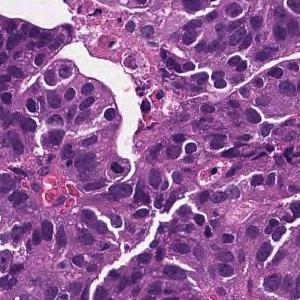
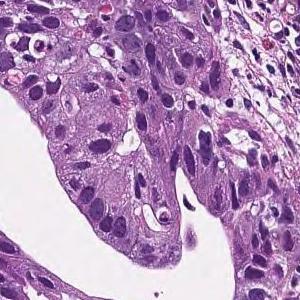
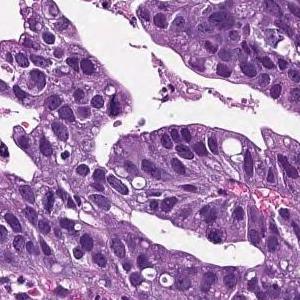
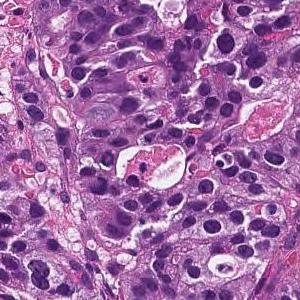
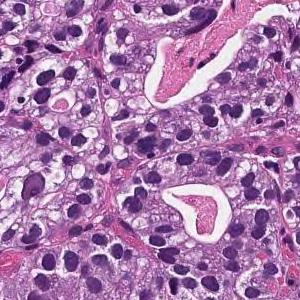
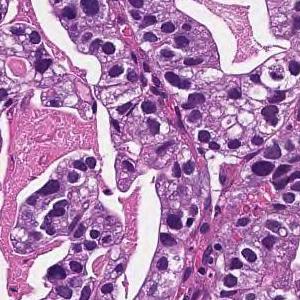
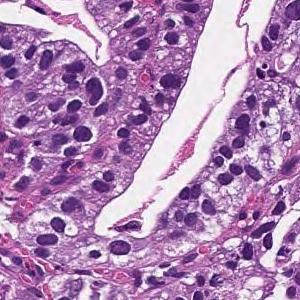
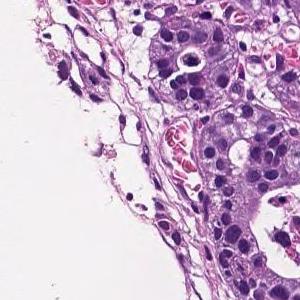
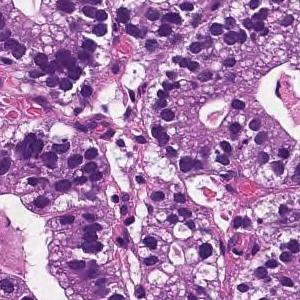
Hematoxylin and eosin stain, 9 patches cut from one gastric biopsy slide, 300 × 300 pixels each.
The pathologist's report on the biopsy slide these tiles were taken from. The report describes the whole slide, diagnosis included: not every finding it names need appear in these tiles, which may also show non-tumor tissue.
On the superficial epithelium, tumor tissue consisting of large, irregular glandular ducts partially fused and infiltrated is observed. Well to moderately differentiated tubular adenocarcinoma (well differentiated tubular adenocarcinoma, moderately differentiated tubular adenocarcinoma)
Histologic type: Well to moderately differentiated tubular adenocarcinoma.
